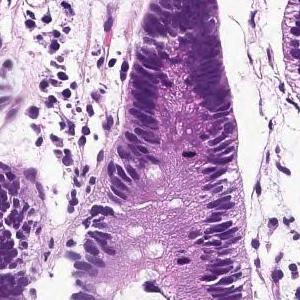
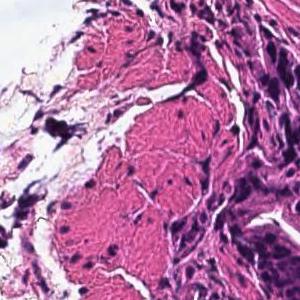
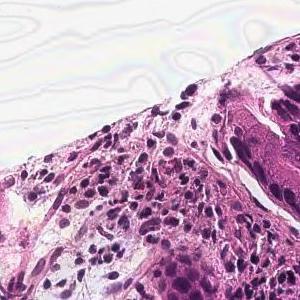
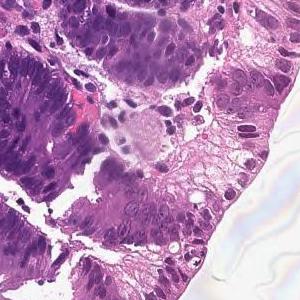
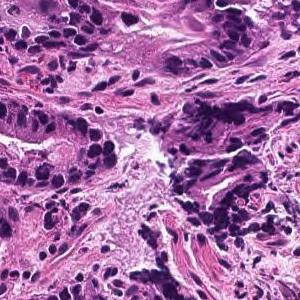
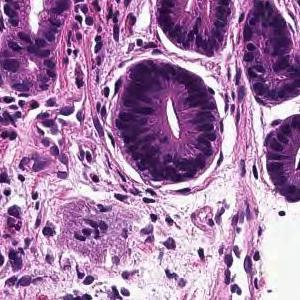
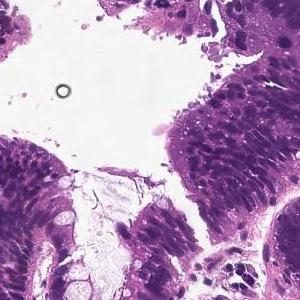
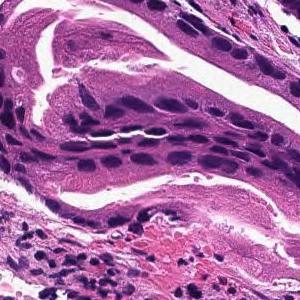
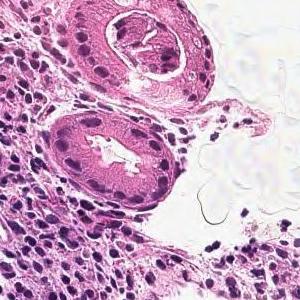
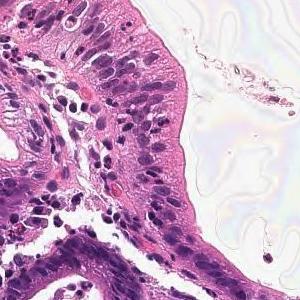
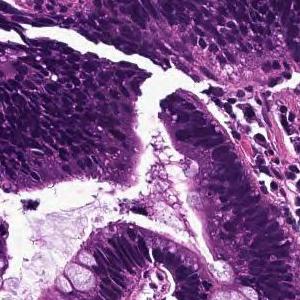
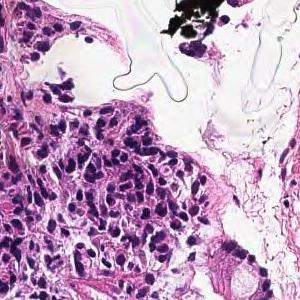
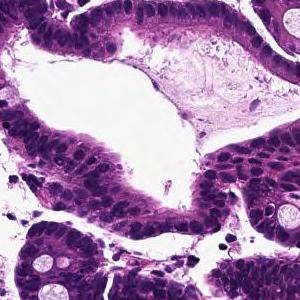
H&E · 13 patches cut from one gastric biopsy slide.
Diagnostic report for the slide these tiles come from. The findings and the diagnosis refer to the entire slide; these tiles show only part of it, possibly with non-tumor tissue, and may not show every feature named.
From the superficial epithelium to the muscularis mucosae, tumor tissue consisting of medium-sized and irregular glandular ducts infiltrating is observed. Well differentiated tubular adenocarcinoma
